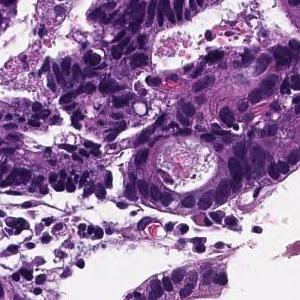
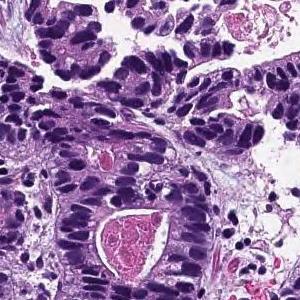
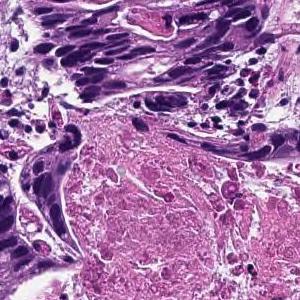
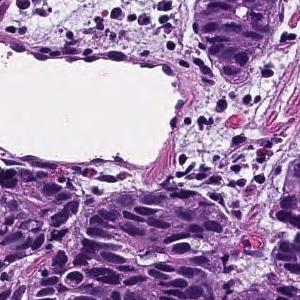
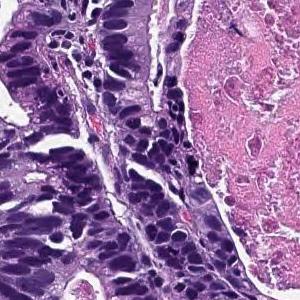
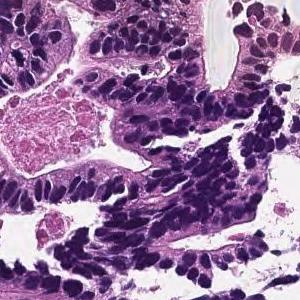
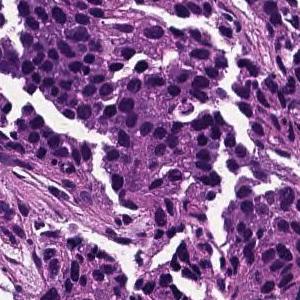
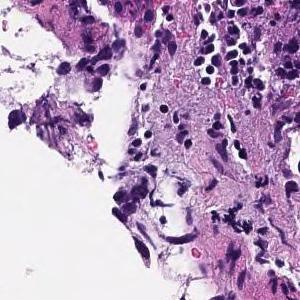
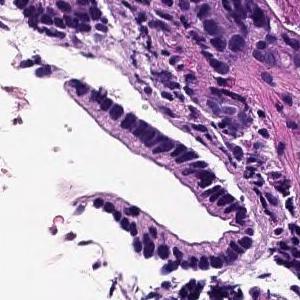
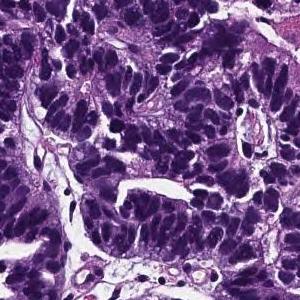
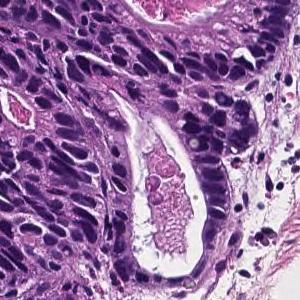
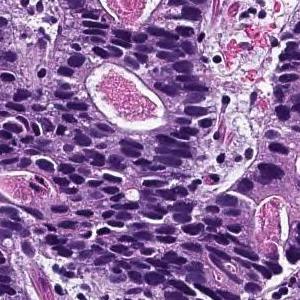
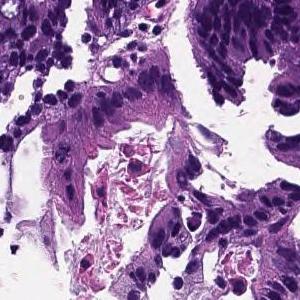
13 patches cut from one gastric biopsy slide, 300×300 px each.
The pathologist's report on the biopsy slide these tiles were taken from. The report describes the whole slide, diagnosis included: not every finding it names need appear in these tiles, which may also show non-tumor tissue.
From the superficial epithelium to the muscularis mucosae, tumor tissue consisting of medium-sized and irregular glandular ducts infiltrating is observed. Well differentiated tubular adenocarcinoma
